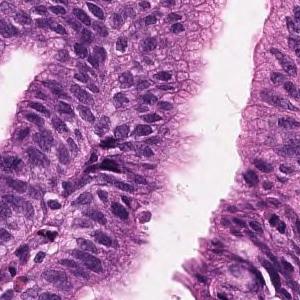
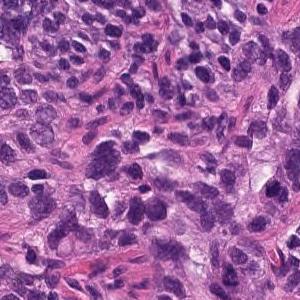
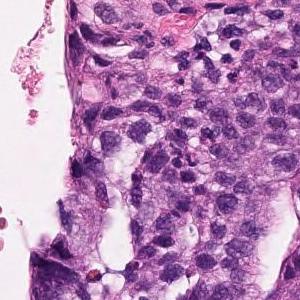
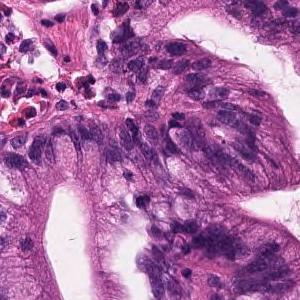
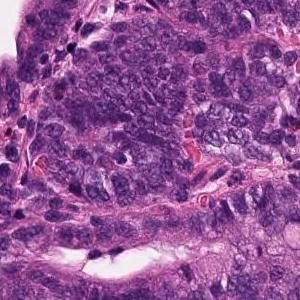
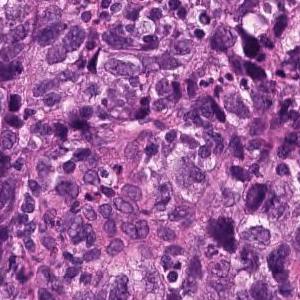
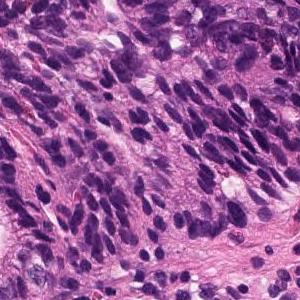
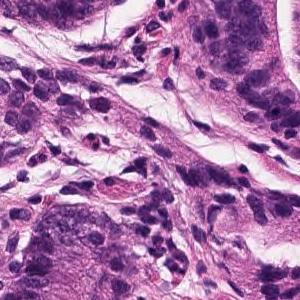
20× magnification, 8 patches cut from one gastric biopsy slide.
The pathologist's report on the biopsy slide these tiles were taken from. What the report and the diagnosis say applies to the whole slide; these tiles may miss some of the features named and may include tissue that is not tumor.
In the superficial epithelium, tumor tissue that invades by forming medium-sized to small, irregular ducts is observed. Moderately differentiated adenocarcinoma.
Histologic type: Moderately differentiated tubular adenocarcinoma.
